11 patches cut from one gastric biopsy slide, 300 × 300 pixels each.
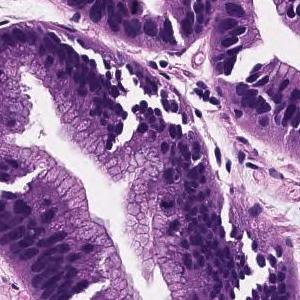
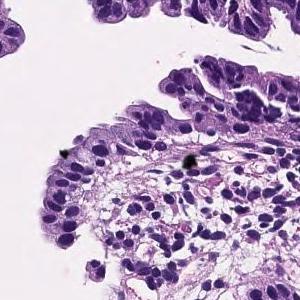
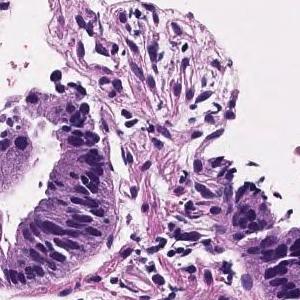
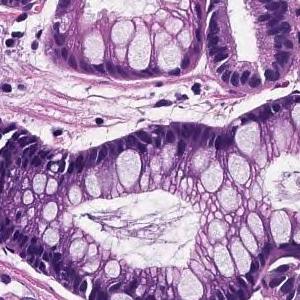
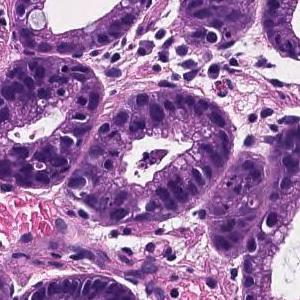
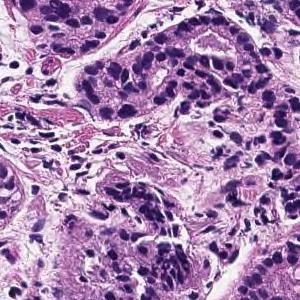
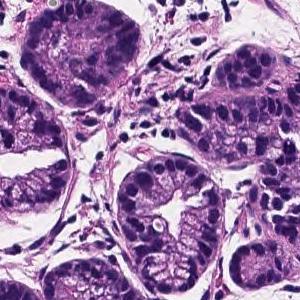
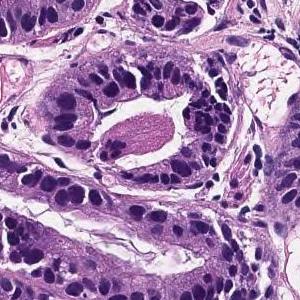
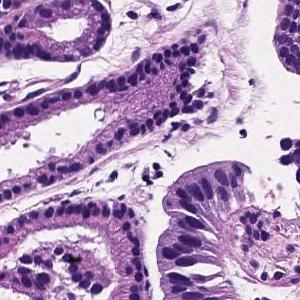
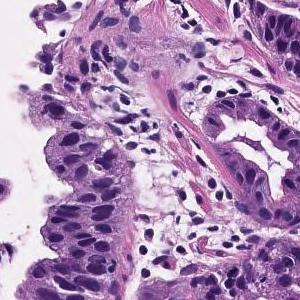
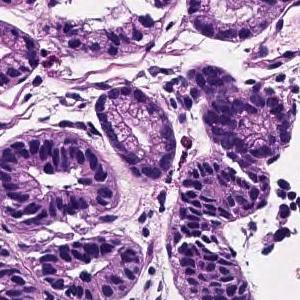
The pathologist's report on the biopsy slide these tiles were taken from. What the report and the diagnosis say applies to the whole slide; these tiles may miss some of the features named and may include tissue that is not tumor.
Tumor cells are large, highly columnar, large club-shaped nuclei, and are associated with chromatin aggregation. Papillary adenocarcinoma.
